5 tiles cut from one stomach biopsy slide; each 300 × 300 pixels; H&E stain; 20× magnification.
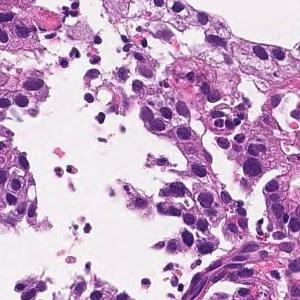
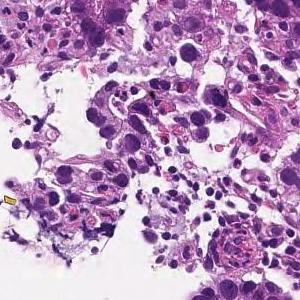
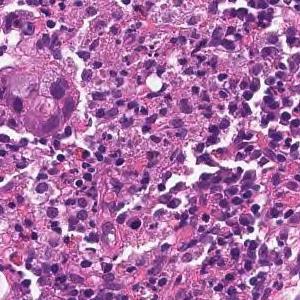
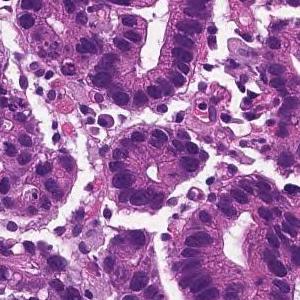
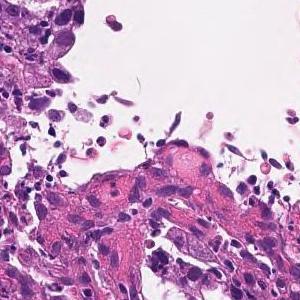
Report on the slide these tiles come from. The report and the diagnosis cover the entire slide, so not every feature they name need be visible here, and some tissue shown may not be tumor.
Medium to small, irregular glandular ducts are formed in the superficial epithelium, and in some cases, the glandular ducts are fused to show solid alveolar lesions and infiltrating tumor tissue is observed. Moderately to poorly differentiated adenocarcinoma.
